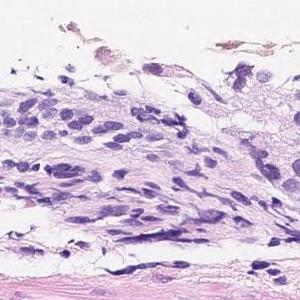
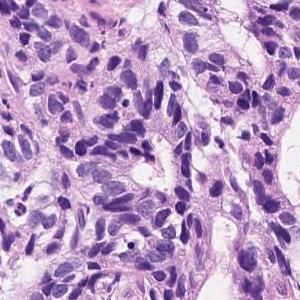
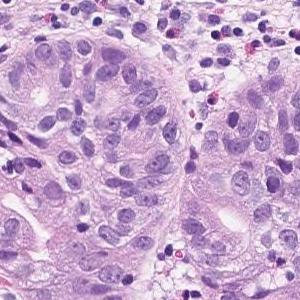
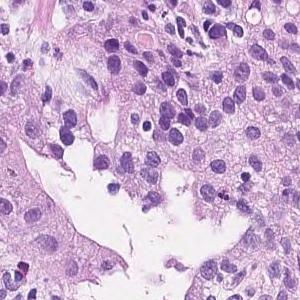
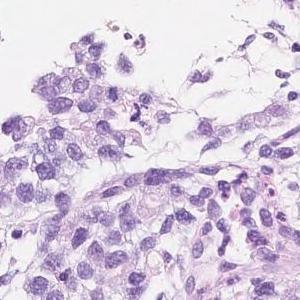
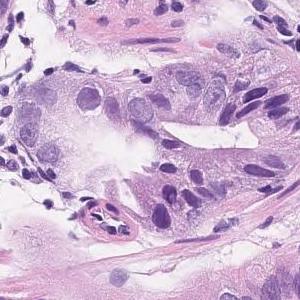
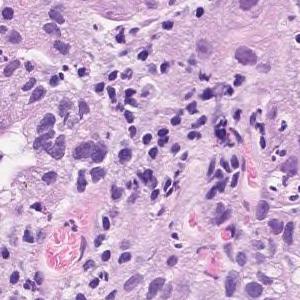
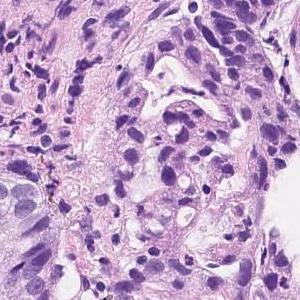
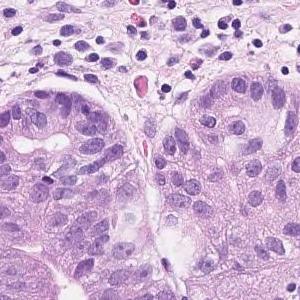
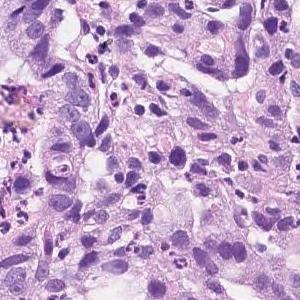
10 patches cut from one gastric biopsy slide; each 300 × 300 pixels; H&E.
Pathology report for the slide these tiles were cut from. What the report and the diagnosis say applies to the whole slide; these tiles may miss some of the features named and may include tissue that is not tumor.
In the superficial epithelium, tumor tissue that invades by forming medium-sized to small, irregular ducts is observed. Moderately to poorly differentiated adenocarcinoma
